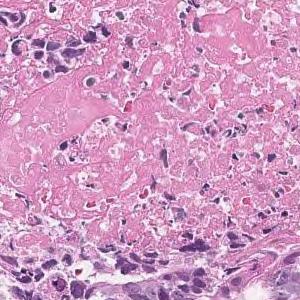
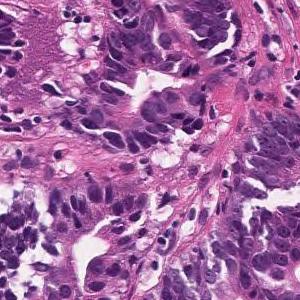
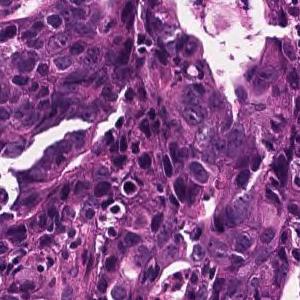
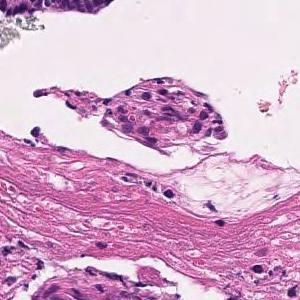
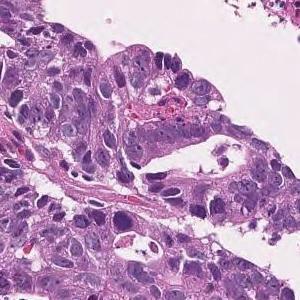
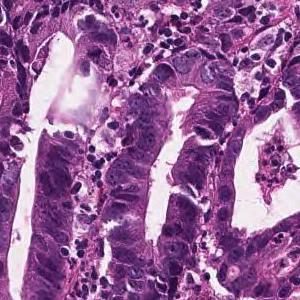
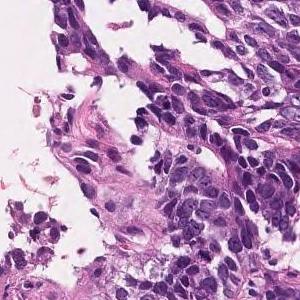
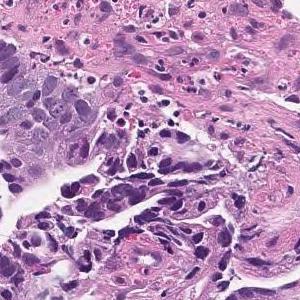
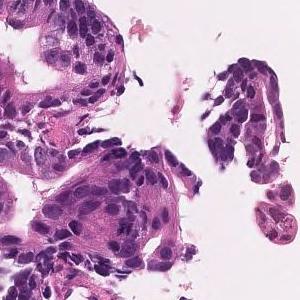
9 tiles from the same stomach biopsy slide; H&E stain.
The pathologist's report on the biopsy slide these tiles were taken from. The report and the diagnosis describe the slide as a whole, so these tiles may not show every feature named and may include non-tumor tissue.
In the superficial epithelium, tumor tissue that invades by forming medium-sized to small, irregular ducts is observed. moderately differentiated tubular adenocarcinoma.
